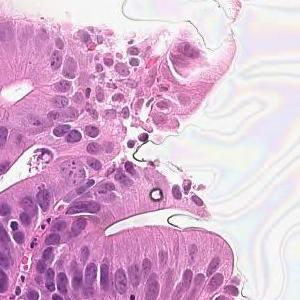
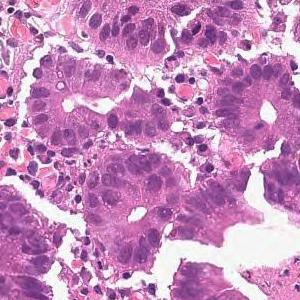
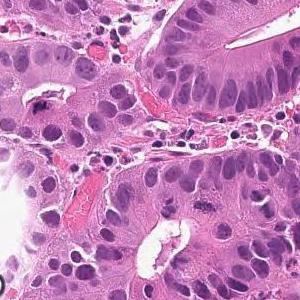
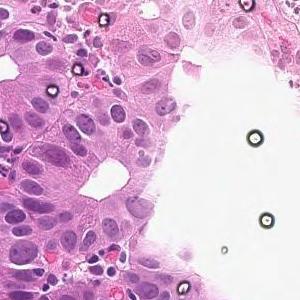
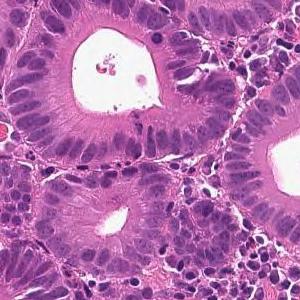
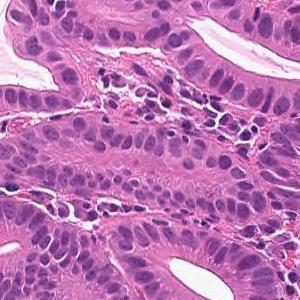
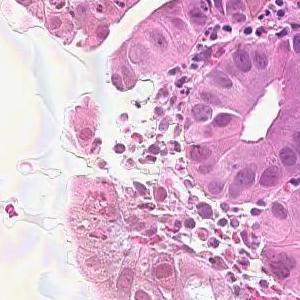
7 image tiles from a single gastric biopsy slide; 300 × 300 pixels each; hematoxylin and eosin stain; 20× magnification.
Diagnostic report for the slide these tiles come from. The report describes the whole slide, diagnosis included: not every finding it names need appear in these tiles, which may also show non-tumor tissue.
From the superficial epithelium to the muscularis mucosae, tumor tissue consisting of medium-sized and irregular glandular ducts infiltrating is observed. Well differentiated tubular adenocarcinoma
